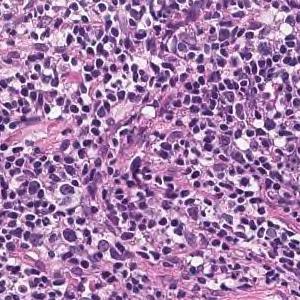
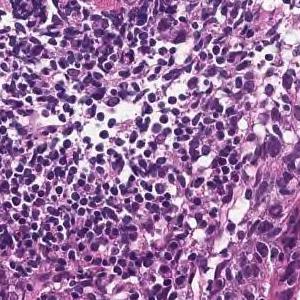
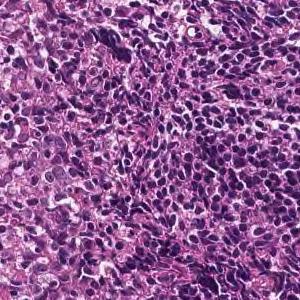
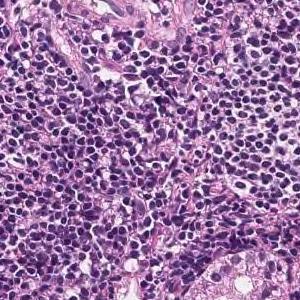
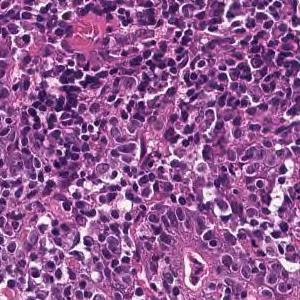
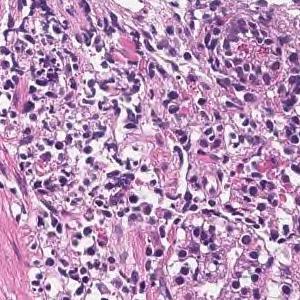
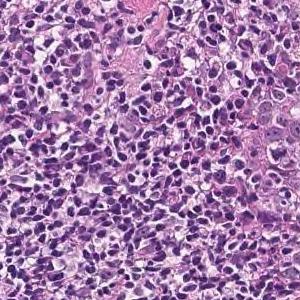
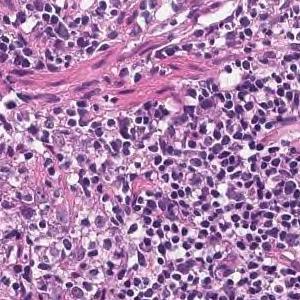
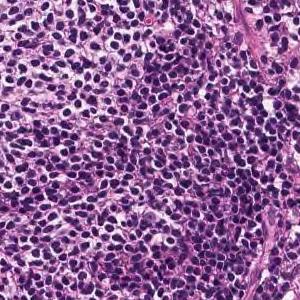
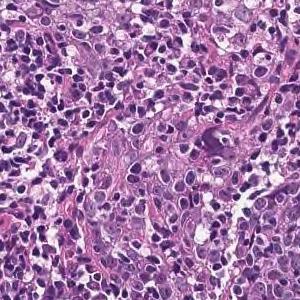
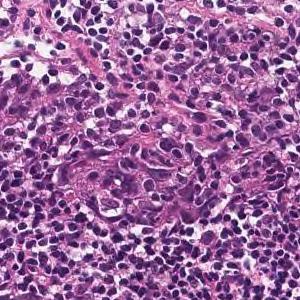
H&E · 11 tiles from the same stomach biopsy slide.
Diagnostic report for the slide these tiles come from. The report and the diagnosis cover the entire slide, so not every feature they name need be visible here, and some tissue shown may not be tumor.
Tumor tissue consisting of cord-like or small, irregular glandular ducts fused and infiltrated is observed in the superficial epithelium. Poorly differentiated adenocarcinoma, non-solid type
"Non-solid type" is a category of the Japanese Classification of Gastric Carcinoma.
